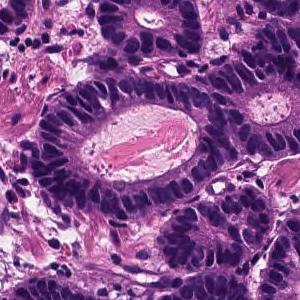
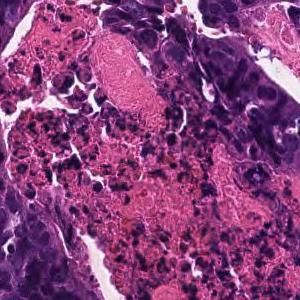
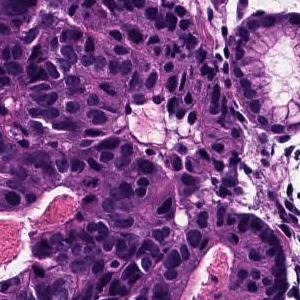
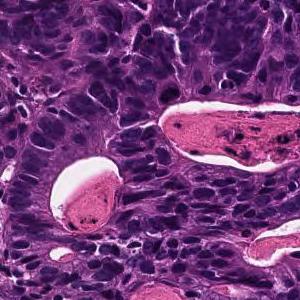
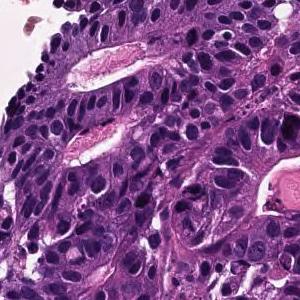
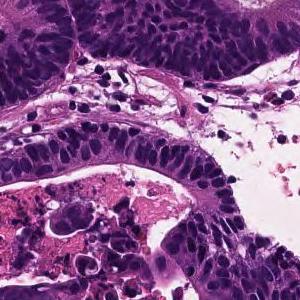
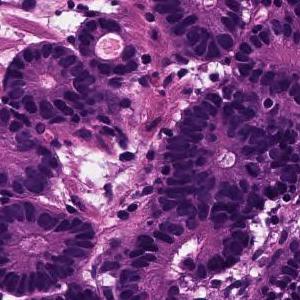
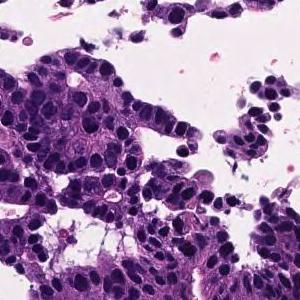
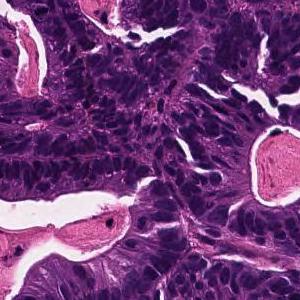
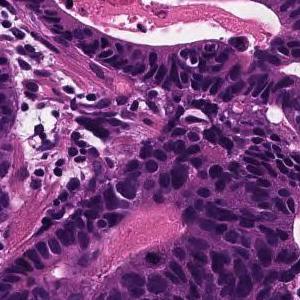
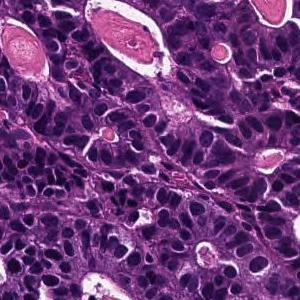
×20 · hematoxylin and eosin stain · 11 tiles cut from one stomach biopsy slide · 300 × 300 pixels each.
The pathologist's report on the biopsy slide these tiles were taken from. The report and the diagnosis describe the slide as a whole, so these tiles may not show every feature named and may include non-tumor tissue.
In the superficial epithelium, tumor tissue that invades by forming medium-sized to small, irregular ducts is observed. moderately differentiated tubular adenocarcinoma.
